12 tiles cut from one stomach biopsy slide, scanned at ×20, H&E stain.
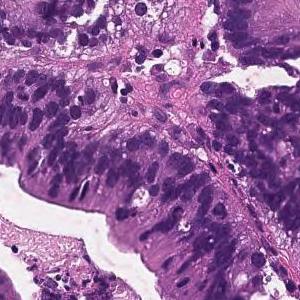
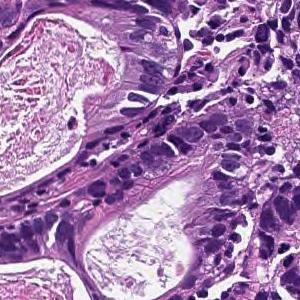
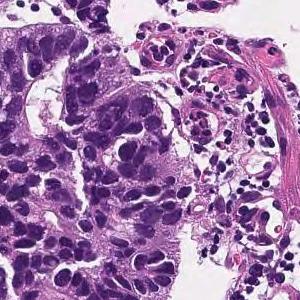
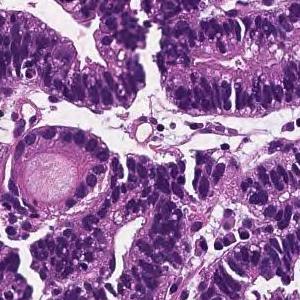
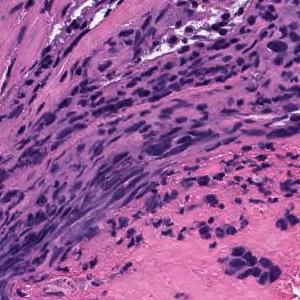
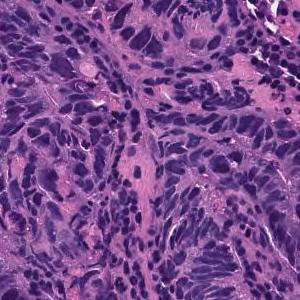
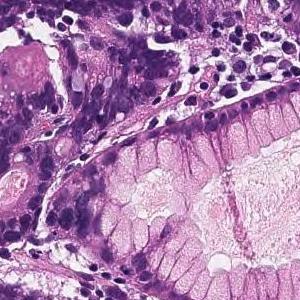
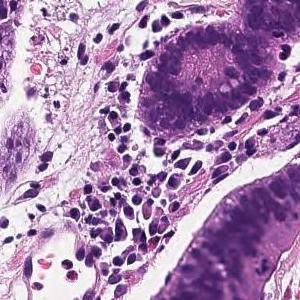
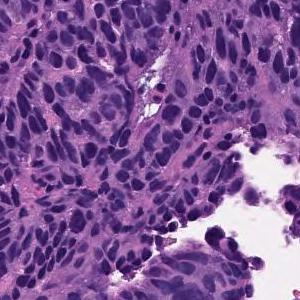
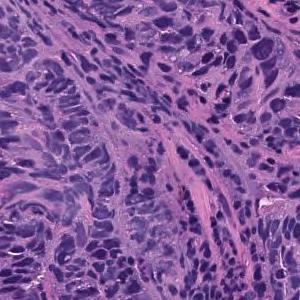
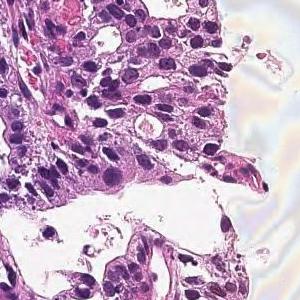
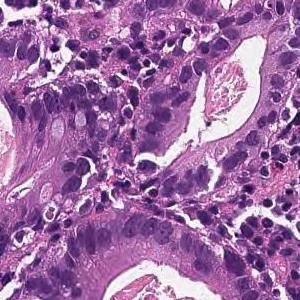
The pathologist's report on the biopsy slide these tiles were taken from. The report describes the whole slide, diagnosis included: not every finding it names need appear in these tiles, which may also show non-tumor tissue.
In the superficial epithelium, tumor tissue that invades by forming medium-sized to small, irregular ducts is observed. moderately differentiated tubular adenocarcinoma.
